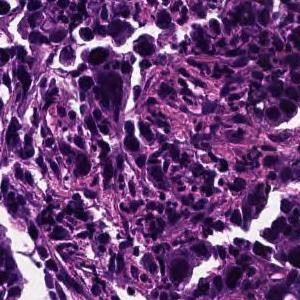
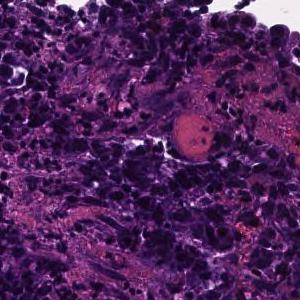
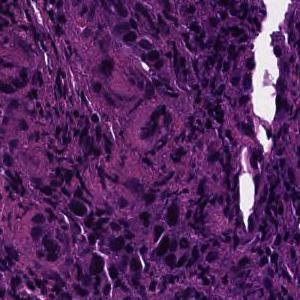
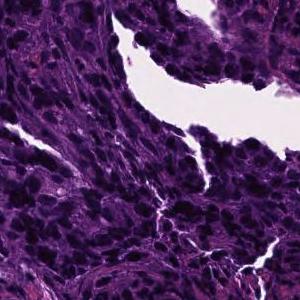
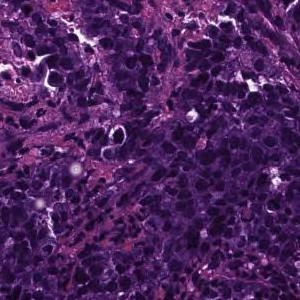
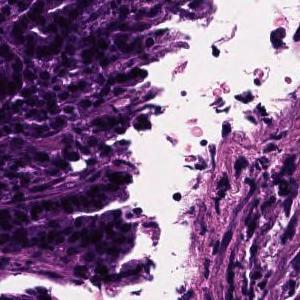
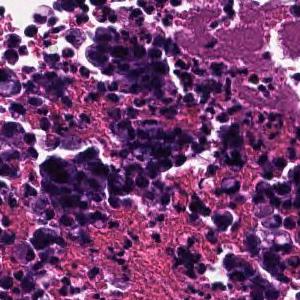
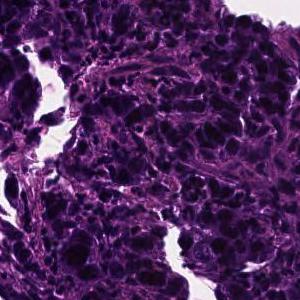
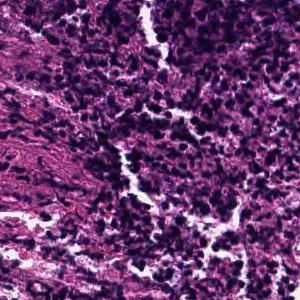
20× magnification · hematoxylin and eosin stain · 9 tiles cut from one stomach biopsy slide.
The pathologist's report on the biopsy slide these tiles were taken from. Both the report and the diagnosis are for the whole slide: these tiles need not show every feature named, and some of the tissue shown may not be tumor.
In the superficial epithelium, tumor tissue that invades by forming medium-sized to small, irregular ducts is observed. moderately differentiated tubular adenocarcinoma.
